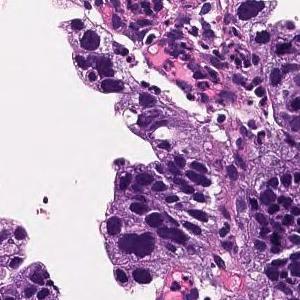
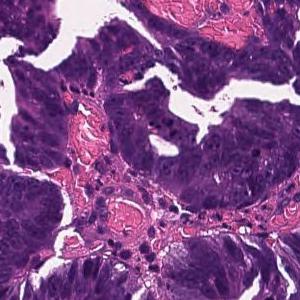
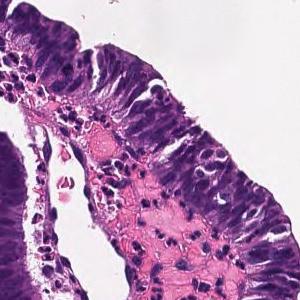
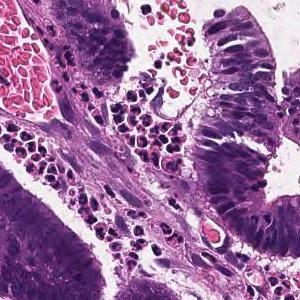
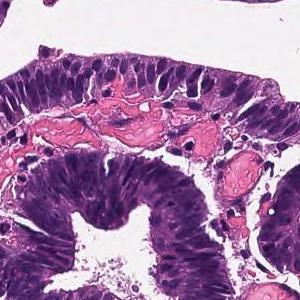
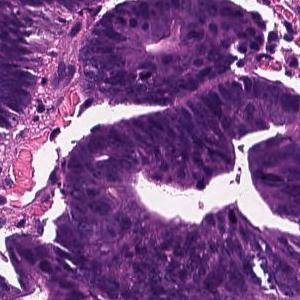
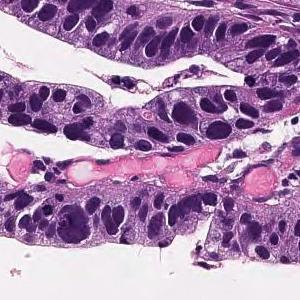
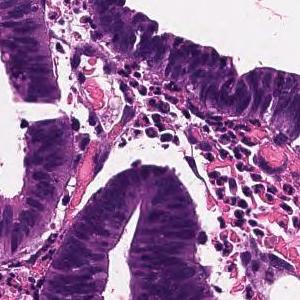
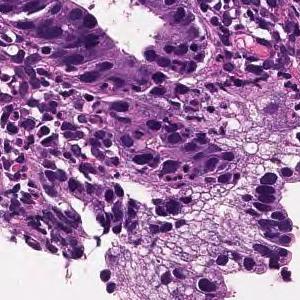
9 image tiles from a single gastric biopsy slide, 300×300 px each, H&E.
The pathologist's report on the biopsy slide these tiles were taken from. What the report and the diagnosis say applies to the whole slide; these tiles may miss some of the features named and may include tissue that is not tumor.
Tumor tissue consisting of large papillary structures is found in the superficial epithelium. Papillary adenocarcinoma.
